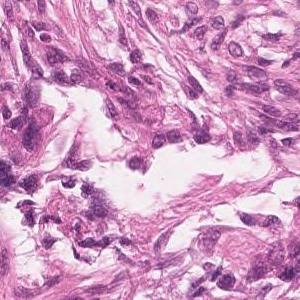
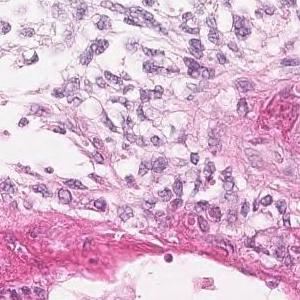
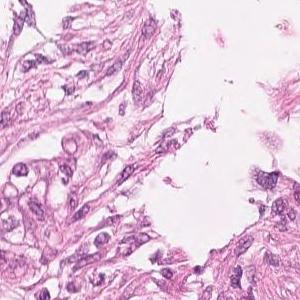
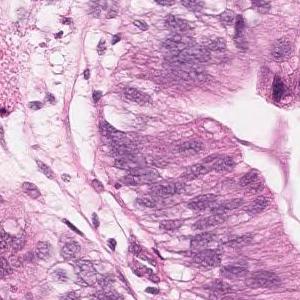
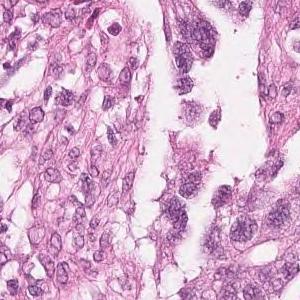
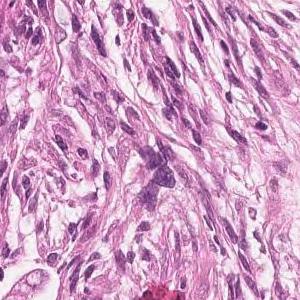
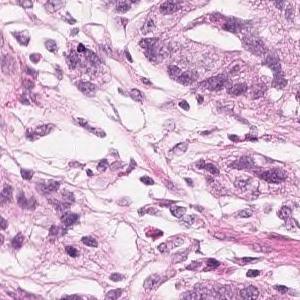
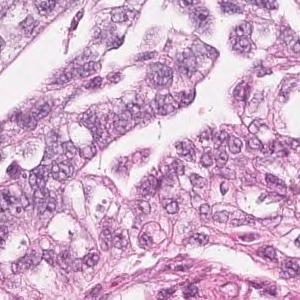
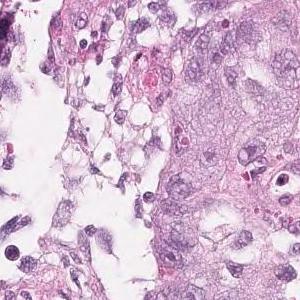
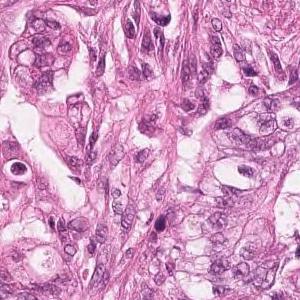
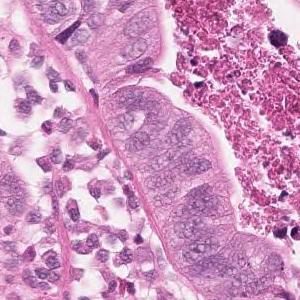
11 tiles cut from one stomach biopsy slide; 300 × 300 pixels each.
Pathology report for the slide these tiles were cut from. Both the report and the diagnosis are for the whole slide: these tiles need not show every feature named, and some of the tissue shown may not be tumor.
Highly columnar epithelium with disordered nuclear localization proliferates showing fusion ductal construction. moderately differentiated tubular adenocarcinoma
